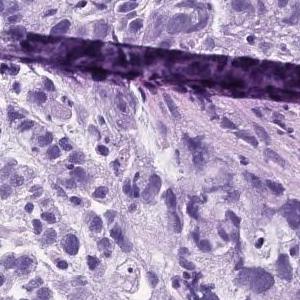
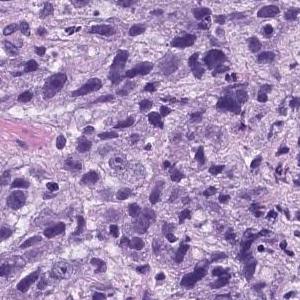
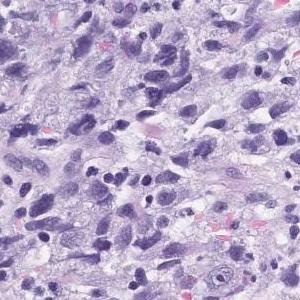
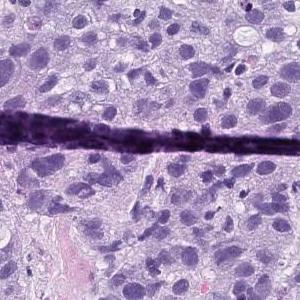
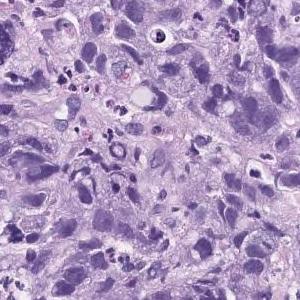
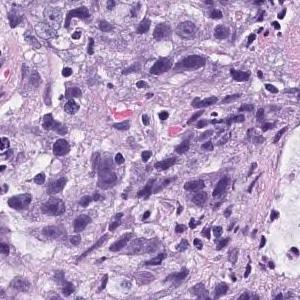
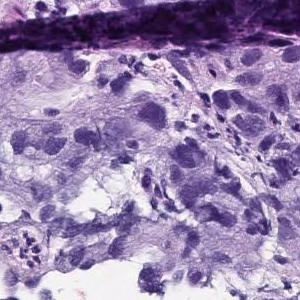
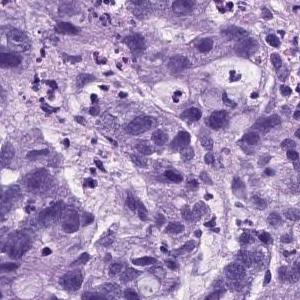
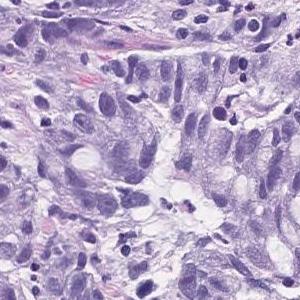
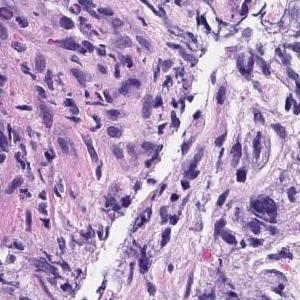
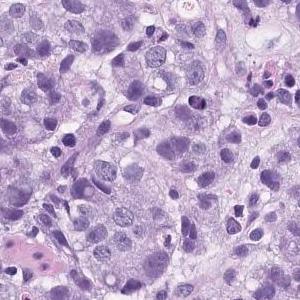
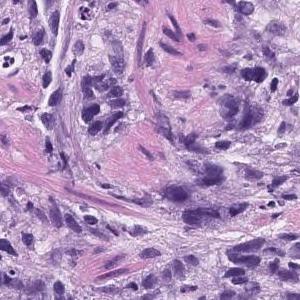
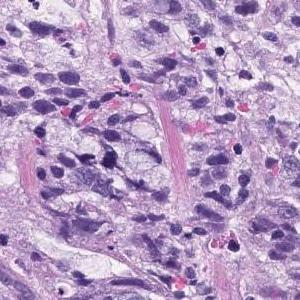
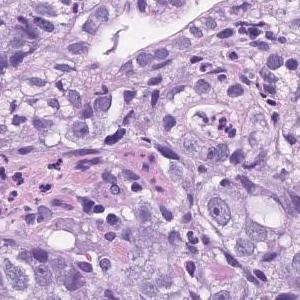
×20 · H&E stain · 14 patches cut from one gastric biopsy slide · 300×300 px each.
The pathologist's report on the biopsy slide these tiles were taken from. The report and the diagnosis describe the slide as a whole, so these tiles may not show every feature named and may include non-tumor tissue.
Atypical l cells with atypical nuclei forming solid vesicles or small irregular atypical ducts that proliferate in a complex manner. poorly differentiated adenocarcinoma, solid type, moderately differentiated tubular adenocarcinoma
The solid type named here is a Japanese Classification of Gastric Carcinoma category; WHO 2019 calls it tubular adenocarcinoma, poorly differentiated.
